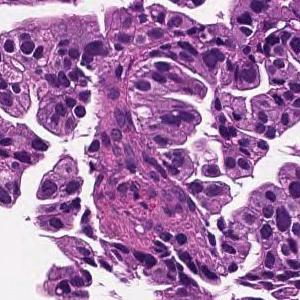
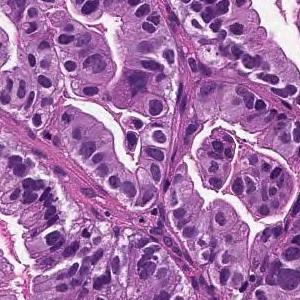
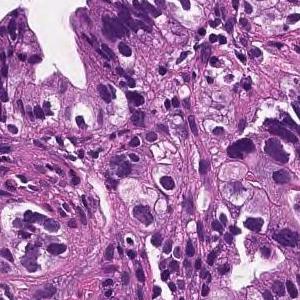
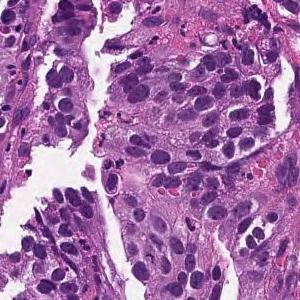
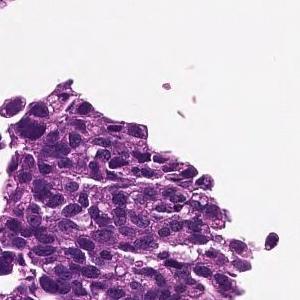
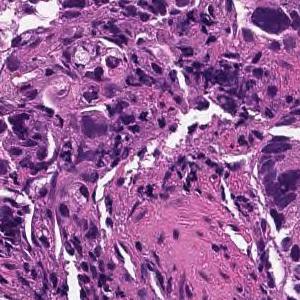
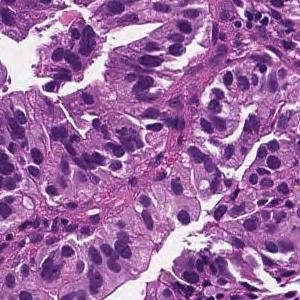
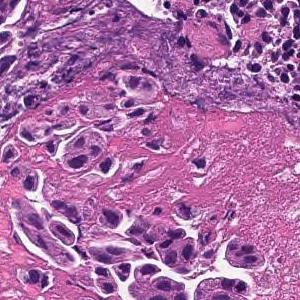
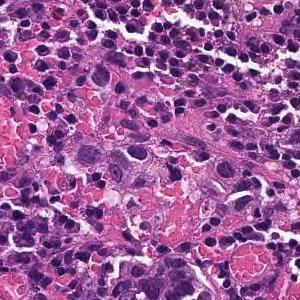
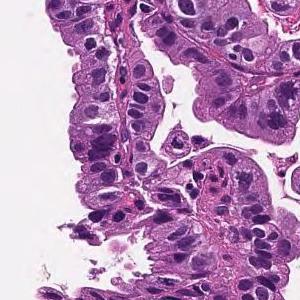
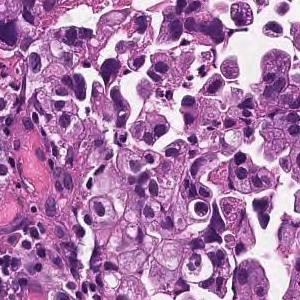
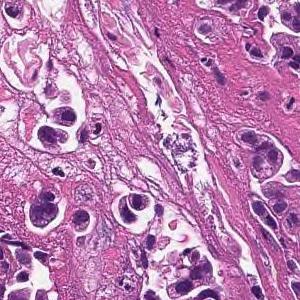
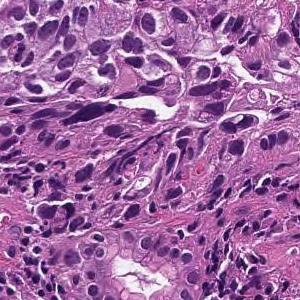
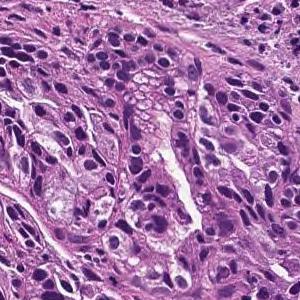
14 image tiles from a single gastric biopsy slide · 300 × 300 pixels each · H&E.
Report on the slide these tiles come from. The report and the diagnosis cover the entire slide, so not every feature they name need be visible here, and some tissue shown may not be tumor.
Medium to small, irregular glandular ducts are formed in the superficial epithelium, and in some cases, the glandular ducts are fused to show solid alveolar lesions and infiltrating tumor tissue is observed. Moderately to poorly differentiated adenocarcinoma.
